×20 · H&E · 12 tiles from the same stomach biopsy slide · 300×300 px each.
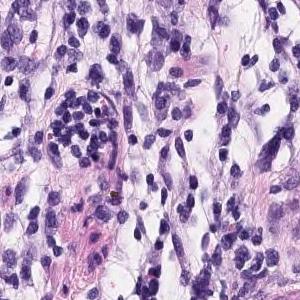
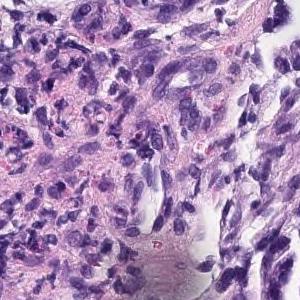
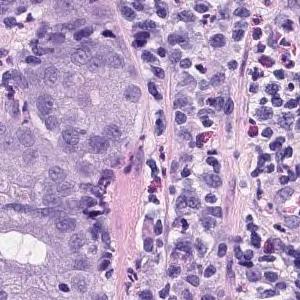
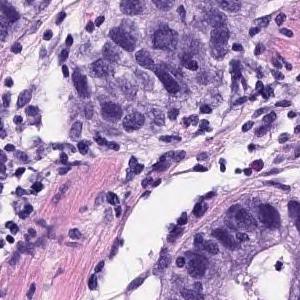
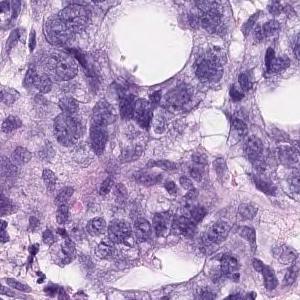
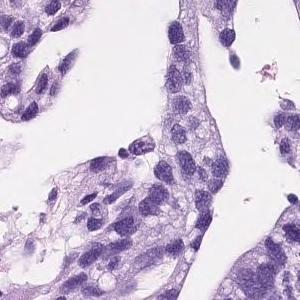
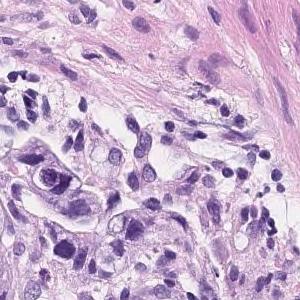
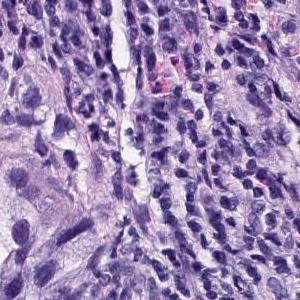
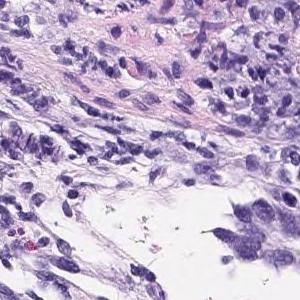
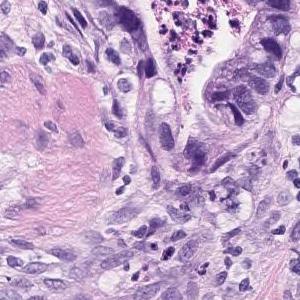
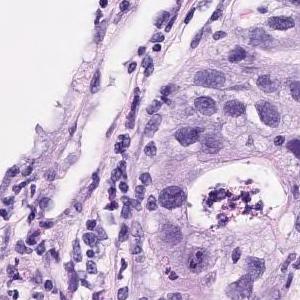
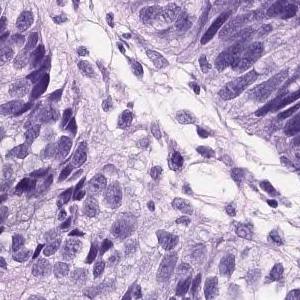
The pathologist's report on the biopsy slide these tiles were taken from. The findings and the diagnosis refer to the entire slide; these tiles show only part of it, possibly with non-tumor tissue, and may not show every feature named.
On the superficial epithelium, tumor tissue consisting of medium to small irregular tubules partially fused and proliferated is observed. moderately differentiated tubular adenocarcinoma
